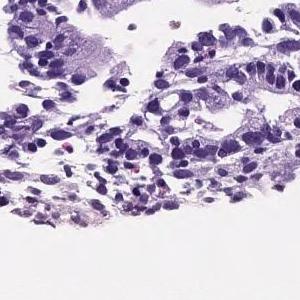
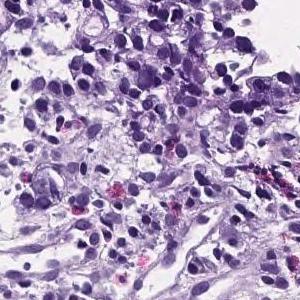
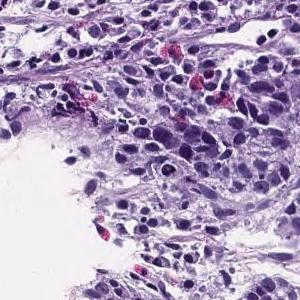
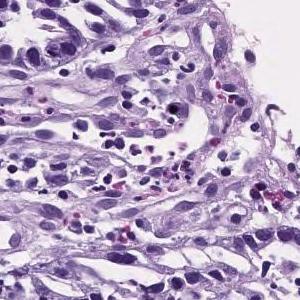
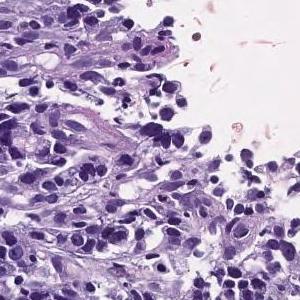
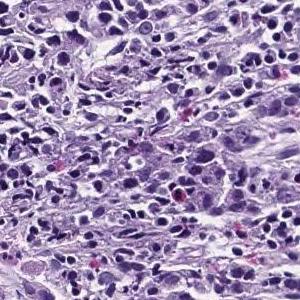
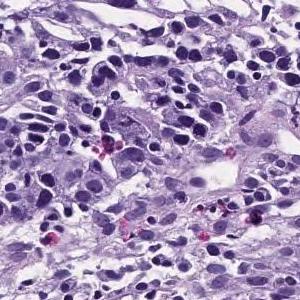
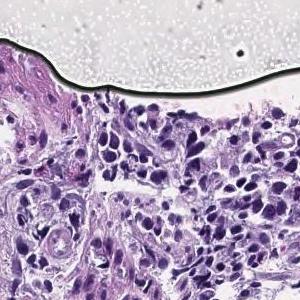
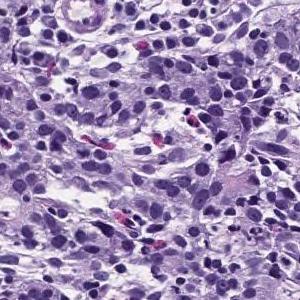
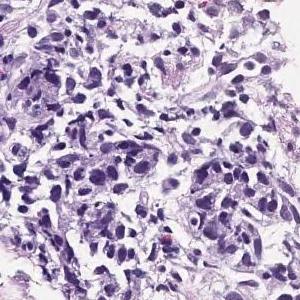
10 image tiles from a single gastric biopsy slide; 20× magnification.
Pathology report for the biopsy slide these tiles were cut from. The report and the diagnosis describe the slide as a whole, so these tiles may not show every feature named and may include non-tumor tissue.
Tumor tissue consisting of medium-sized, cord-like or irregular glandular infiltration is observed in the superficial epithelium. Poorly differentiated adenocarcinoma, non-solid type or moderately differentiated tubular adenocarcinoma
Classified as moderately to poorly differentiated adenocarcinoma.
The term "non-solid type" comes from the Japanese Classification of Gastric Carcinoma.
